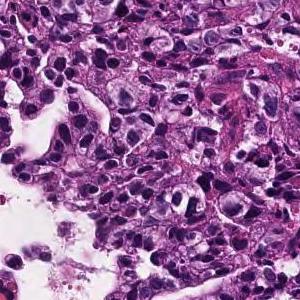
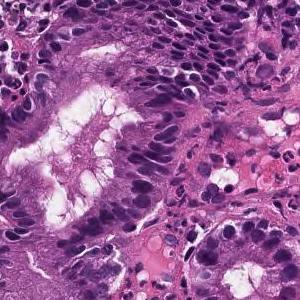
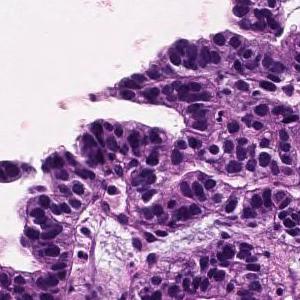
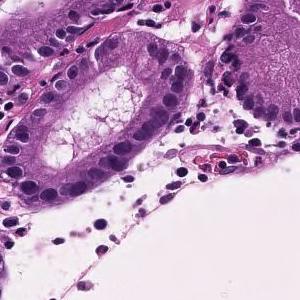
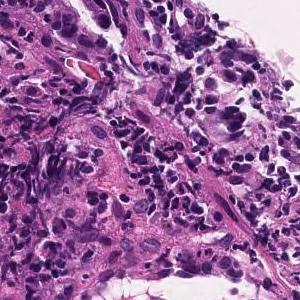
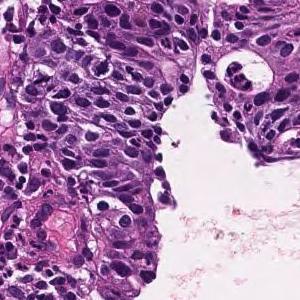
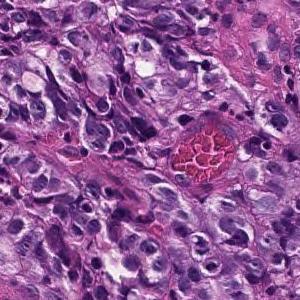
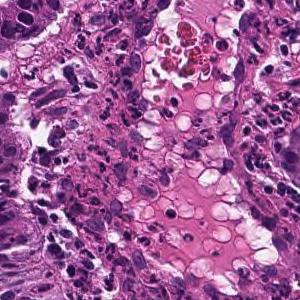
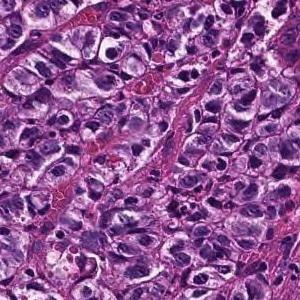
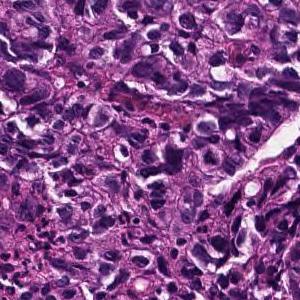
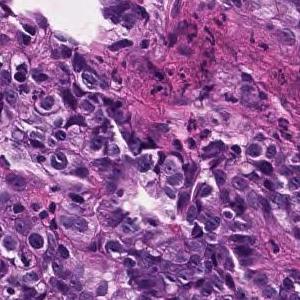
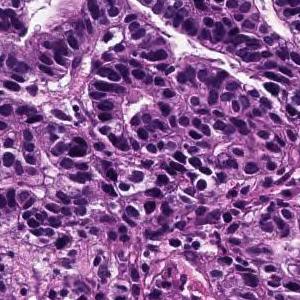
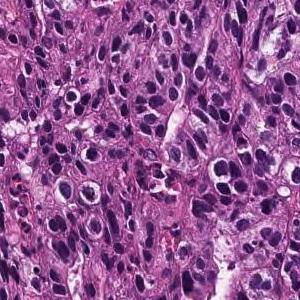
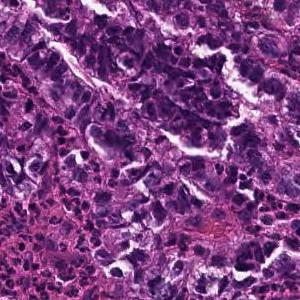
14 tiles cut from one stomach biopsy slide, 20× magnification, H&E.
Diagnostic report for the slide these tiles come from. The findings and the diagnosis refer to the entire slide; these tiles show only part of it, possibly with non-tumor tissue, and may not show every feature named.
In the superficial epithelium, tumor tissue that invades by forming medium-sized to small, irregular ducts is observed. moderately differentiated tubular adenocarcinoma.
